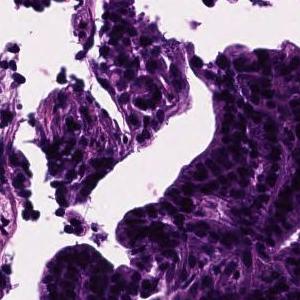
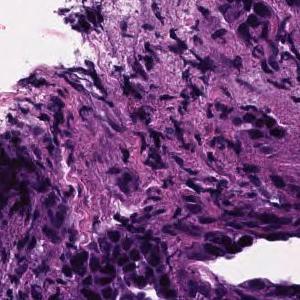
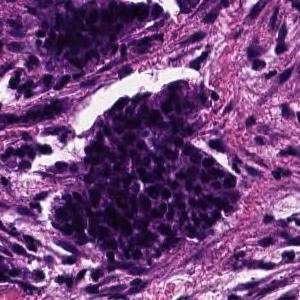
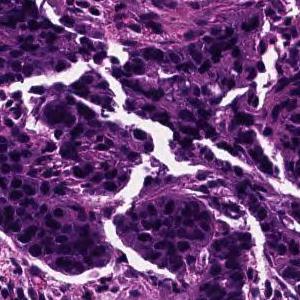
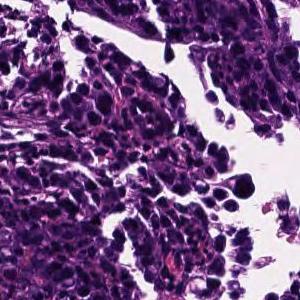
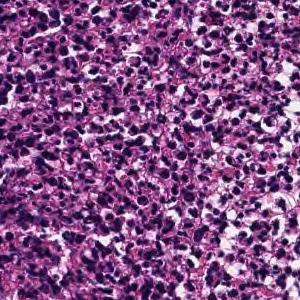
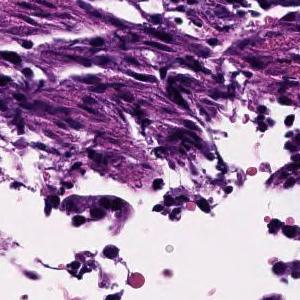
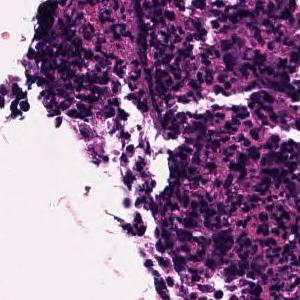
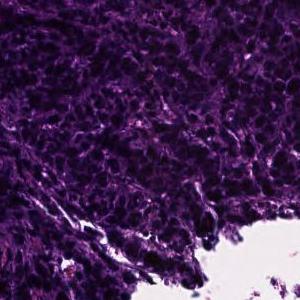
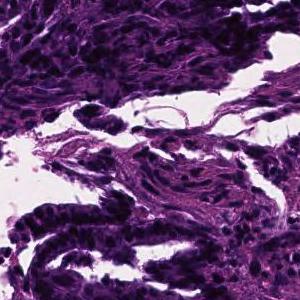
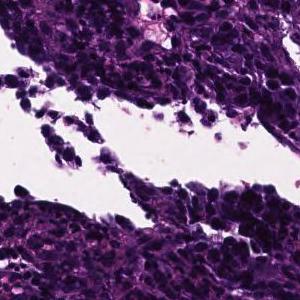
Hematoxylin and eosin stain; scanned at ×20; 11 tiles from the same stomach biopsy slide.
Report on the slide these tiles come from. The report and the diagnosis cover the entire slide, so not every feature they name need be visible here, and some tissue shown may not be tumor.
In the superficial epithelium, tumor tissue that invades by forming medium-sized to small, irregular ducts is observed. moderately differentiated tubular adenocarcinoma.
